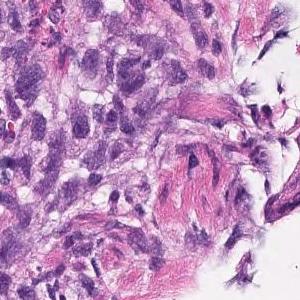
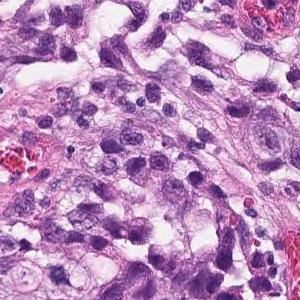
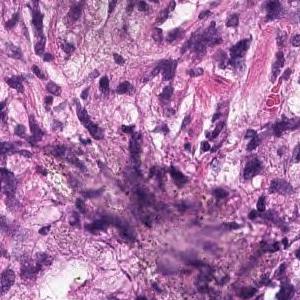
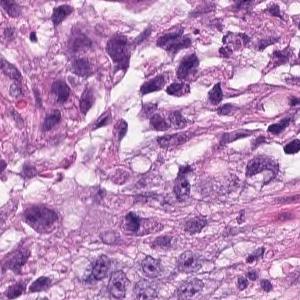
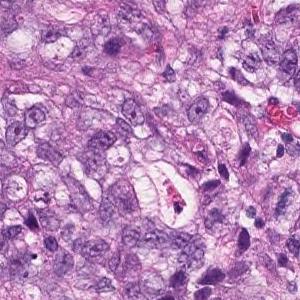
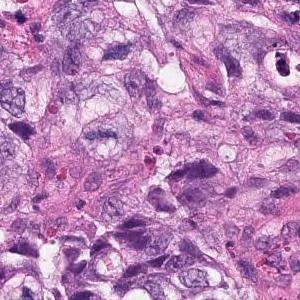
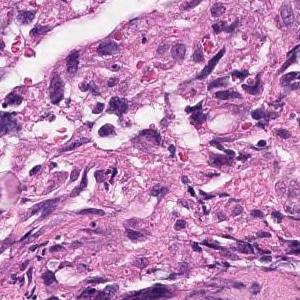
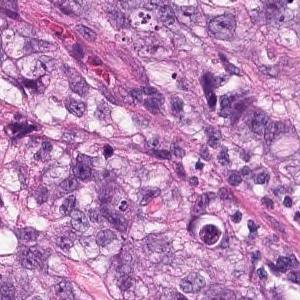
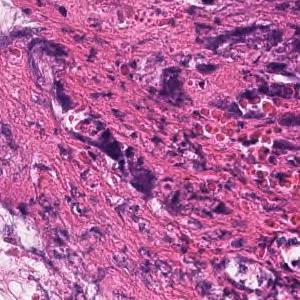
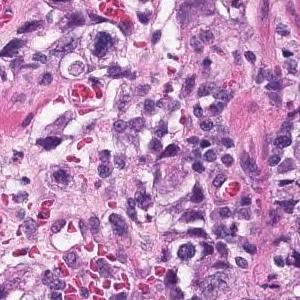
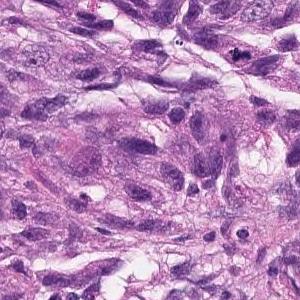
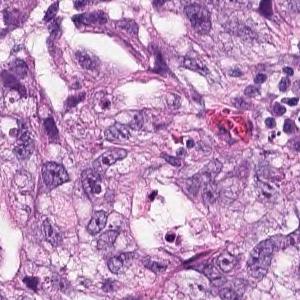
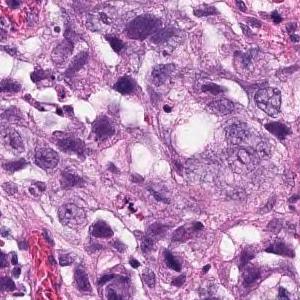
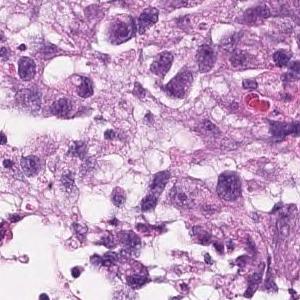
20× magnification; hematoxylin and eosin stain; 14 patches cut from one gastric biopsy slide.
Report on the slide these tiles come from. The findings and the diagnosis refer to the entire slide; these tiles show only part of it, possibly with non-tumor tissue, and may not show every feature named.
The superficial epithelium shows a large sheet-like shape, and some tumor tissue infiltrates with small irregular ducts. Poorly differentiated adenocarcinoma, solid-type
Subtype: Poorly differentiated adenocarcinoma, solid type, a category of the Japanese Classification of Gastric Carcinoma; in the WHO 2019 classification it is tubular adenocarcinoma, poorly differentiated.
